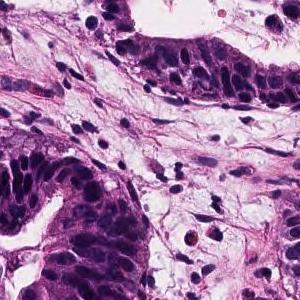
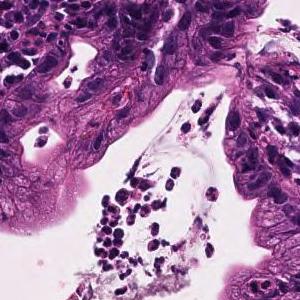
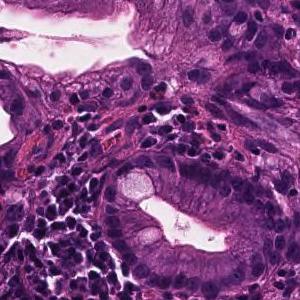
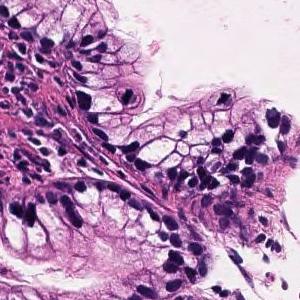
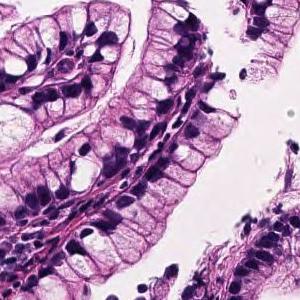
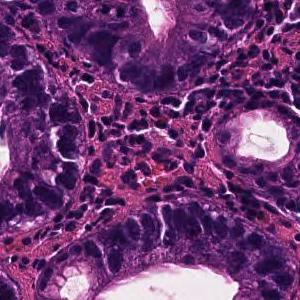
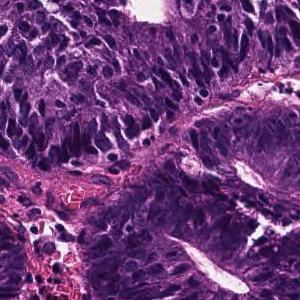
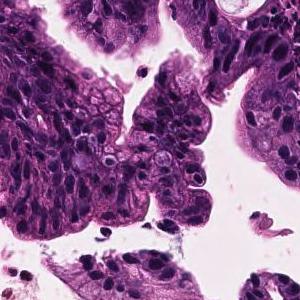
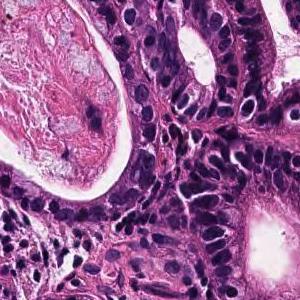
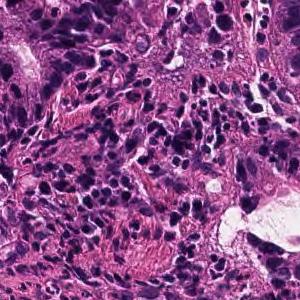
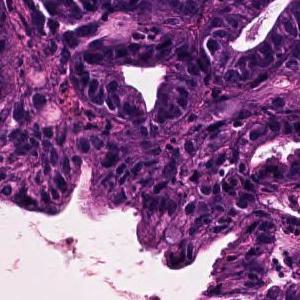
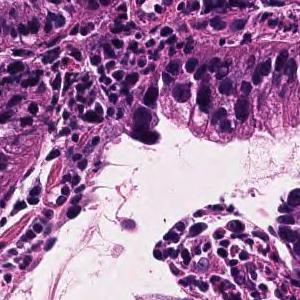
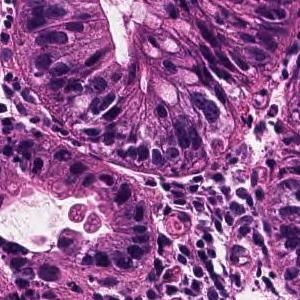
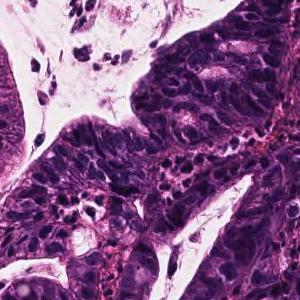
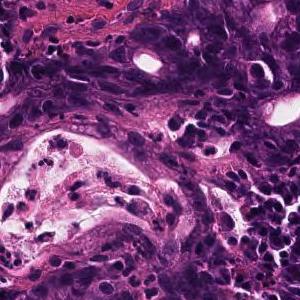
15 patches cut from one gastric biopsy slide, 300 × 300 pixels each, hematoxylin and eosin stain, ×20.
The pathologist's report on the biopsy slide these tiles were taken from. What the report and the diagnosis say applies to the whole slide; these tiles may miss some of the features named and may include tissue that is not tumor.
Tumor cells are large, highly columnar, large club-shaped nuclei, and are associated with chromatin aggregation. Papillary adenocarcinoma.
